20× magnification; H&E stain; 16 image tiles from a single gastric biopsy slide; each 300 × 300 pixels.
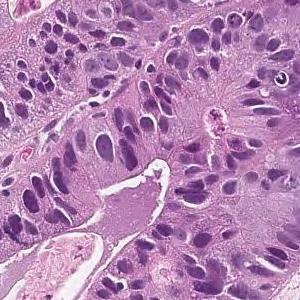
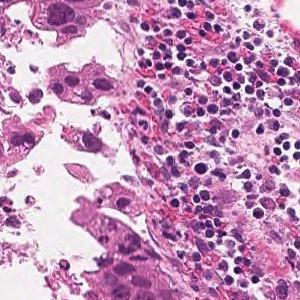
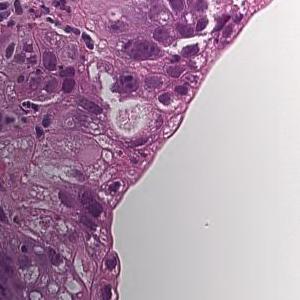
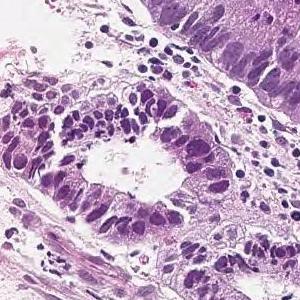
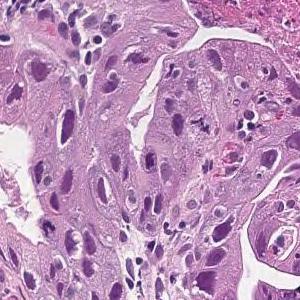
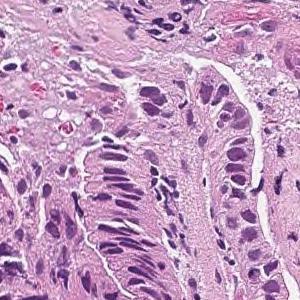
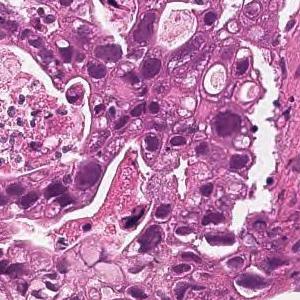
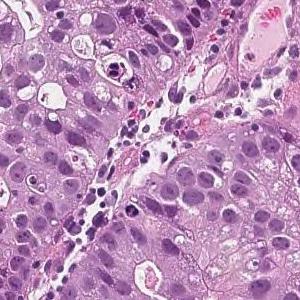
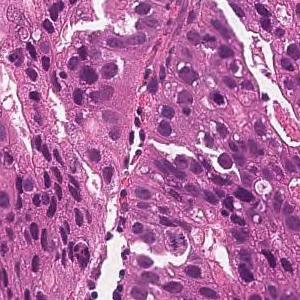
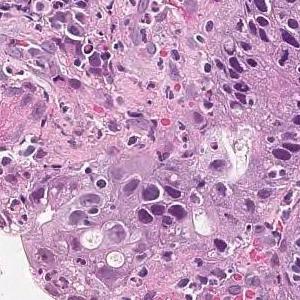
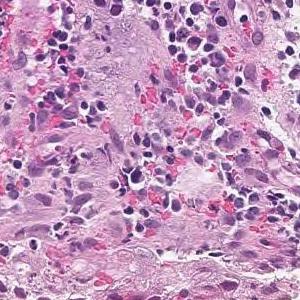
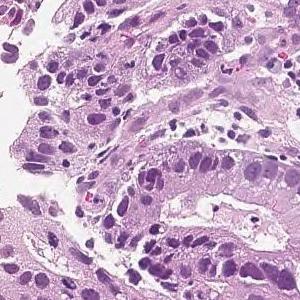
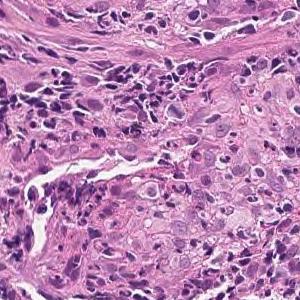
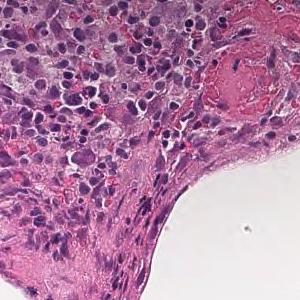
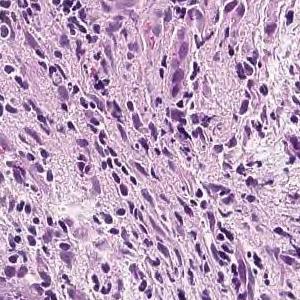
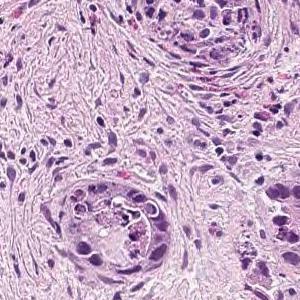
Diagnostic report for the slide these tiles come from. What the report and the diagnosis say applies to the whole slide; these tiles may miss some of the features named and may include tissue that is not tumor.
In the superficial epithelium, tumor tissue that invades by forming medium-sized to small, irregular ducts is observed. moderately differentiated tubular adenocarcinoma.
